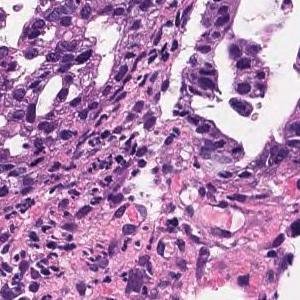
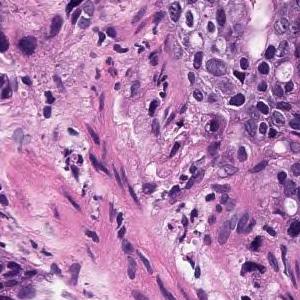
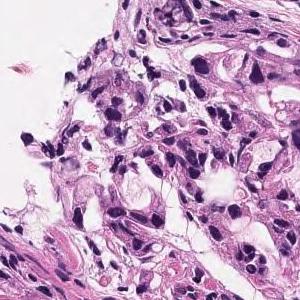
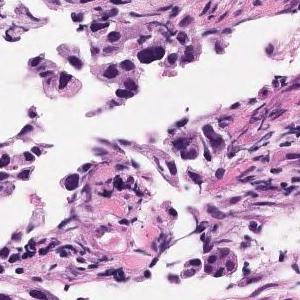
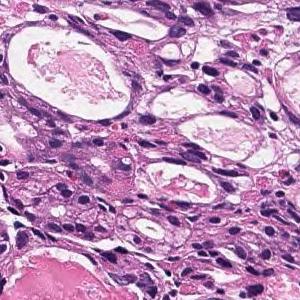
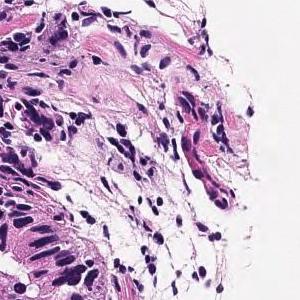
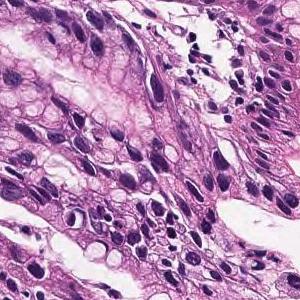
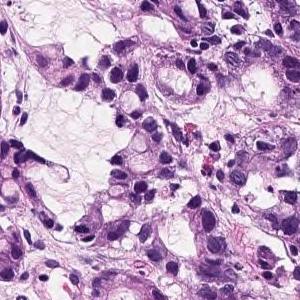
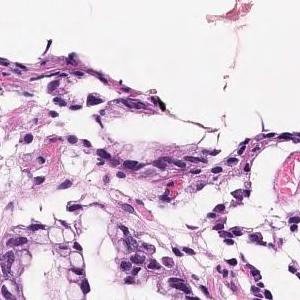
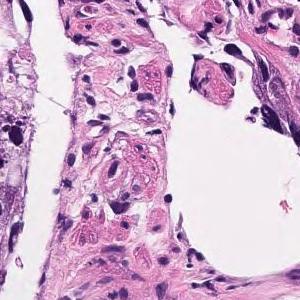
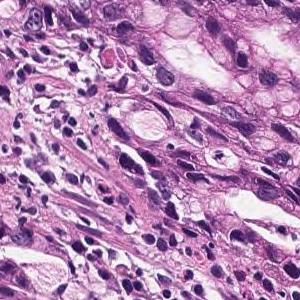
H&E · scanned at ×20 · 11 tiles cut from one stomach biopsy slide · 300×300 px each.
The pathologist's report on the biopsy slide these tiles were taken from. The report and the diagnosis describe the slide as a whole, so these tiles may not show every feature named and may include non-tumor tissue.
In the superficial epithelium, tumor tissue that invades by forming medium-sized to small, irregular ducts is observed. Moderately differentiated adenocarcinoma.
Histologic type: Moderately differentiated tubular adenocarcinoma.
